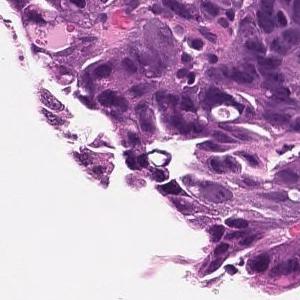
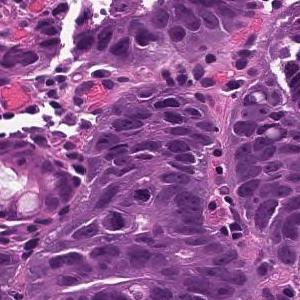
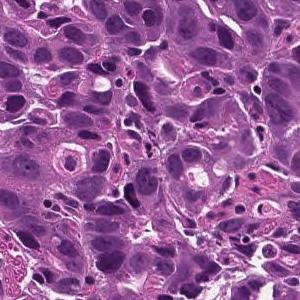
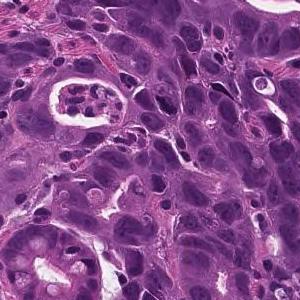
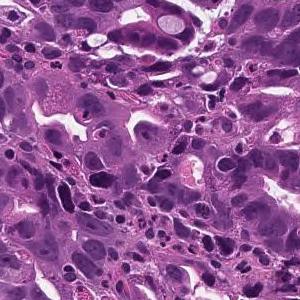
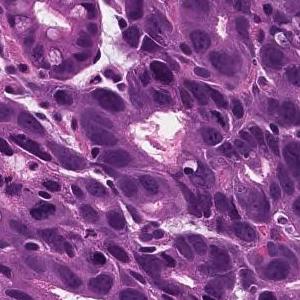
H&E; 6 tiles cut from one stomach biopsy slide; 300 × 300 pixels each.
Pathology report for the slide these tiles were cut from. The report describes the whole slide, diagnosis included: not every finding it names need appear in these tiles, which may also show non-tumor tissue.
On the superficial epithelium, tumor tissue is found in which medium-sized irregular gland ducts fuse with each other and infiltrate. moderately differentiated tubular adenocarcinoma
